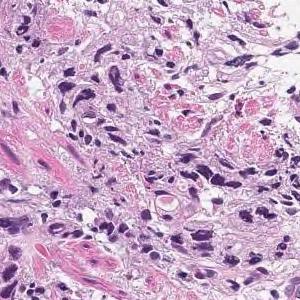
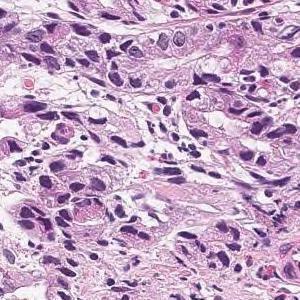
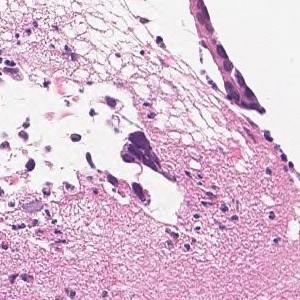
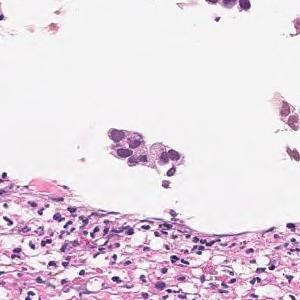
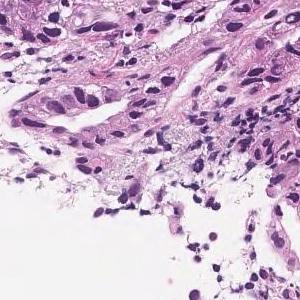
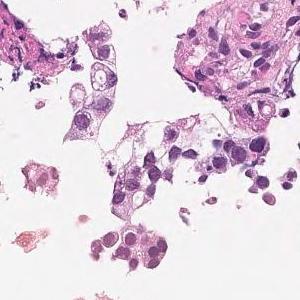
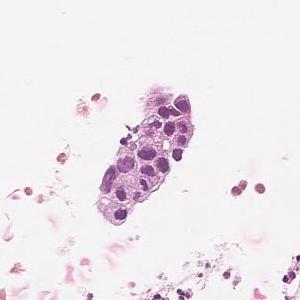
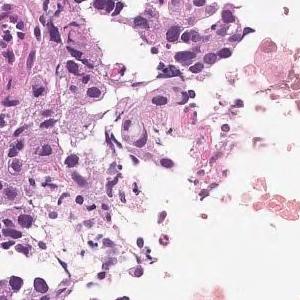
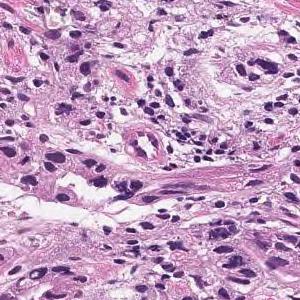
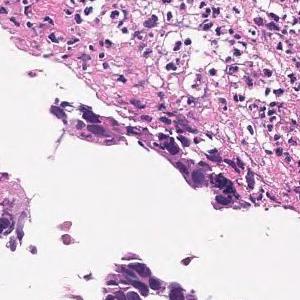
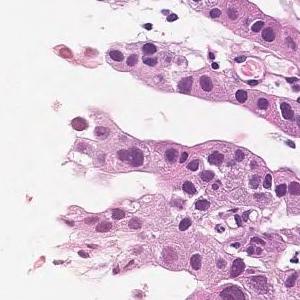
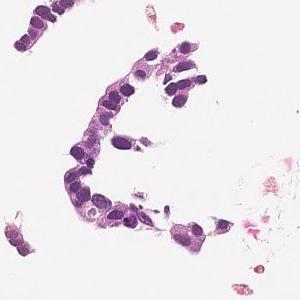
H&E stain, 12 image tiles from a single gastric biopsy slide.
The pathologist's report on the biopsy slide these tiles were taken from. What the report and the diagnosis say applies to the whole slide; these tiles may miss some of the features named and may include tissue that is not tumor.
Tumor tissue that grows by forming gland ducts from the surface layer to the submucosa is observed. moderately differentiated tubular adenocarcinoma
